H&E stain; 20× magnification; 10 image tiles from a single gastric biopsy slide; 300 × 300 pixels each.
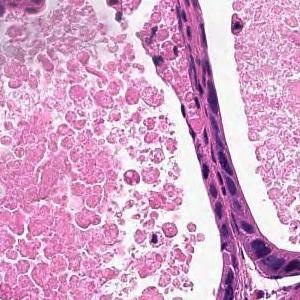
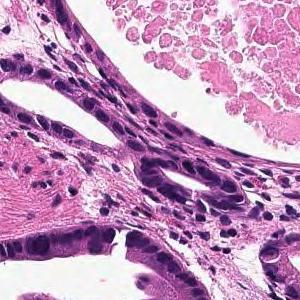
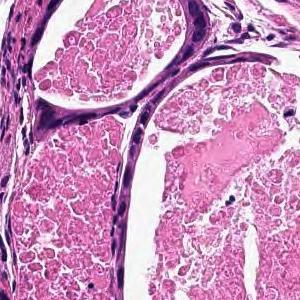
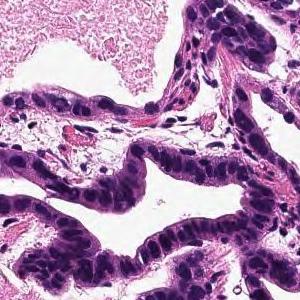
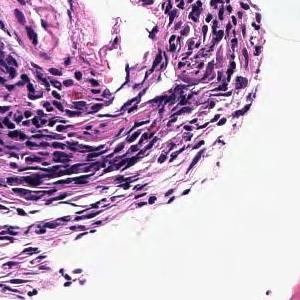
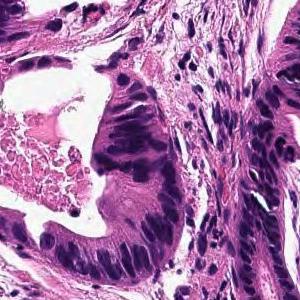
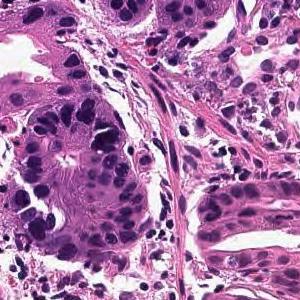
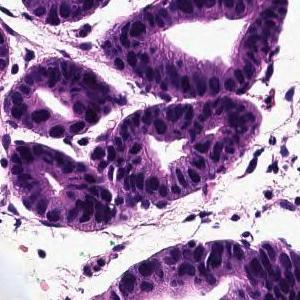
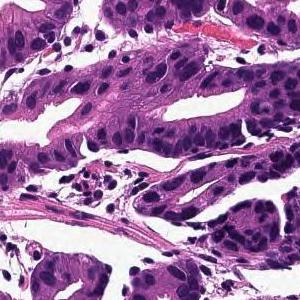
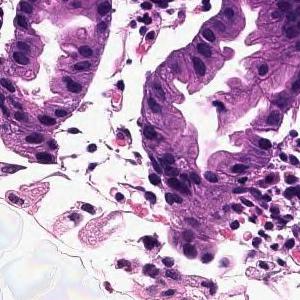
The pathologist's report on the biopsy slide these tiles were taken from. The findings and the diagnosis refer to the entire slide; these tiles show only part of it, possibly with non-tumor tissue, and may not show every feature named.
From the superficial epithelium to the muscularis mucosae, tumor tissue consisting of medium-sized and irregular glandular ducts infiltrating is observed. Well differentiated tubular adenocarcinoma
